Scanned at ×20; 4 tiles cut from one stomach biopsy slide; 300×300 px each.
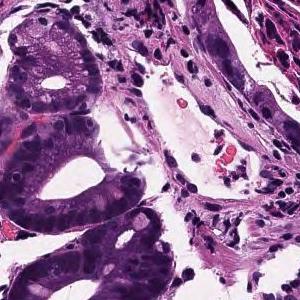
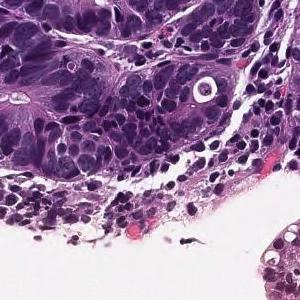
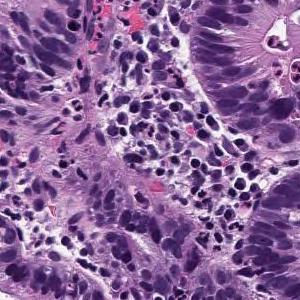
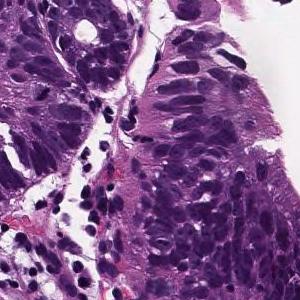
Pathology report for the biopsy slide these tiles were cut from. What the report and the diagnosis say applies to the whole slide; these tiles may miss some of the features named and may include tissue that is not tumor.
From the superficial epithelium to the muscularis mucosae, tumor tissue consisting of medium-sized and irregular glandular ducts infiltrating is observed. Well differentiated tubular adenocarcinoma
